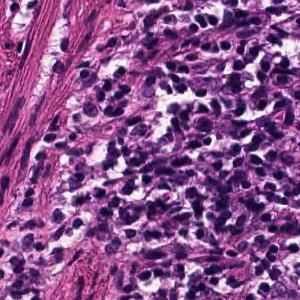
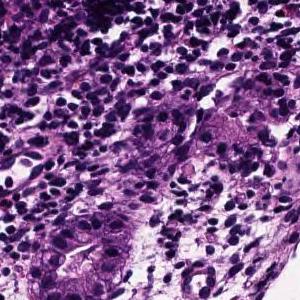
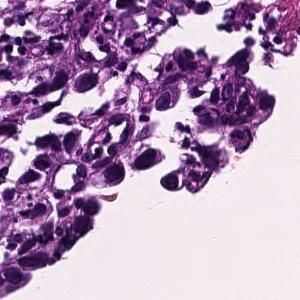
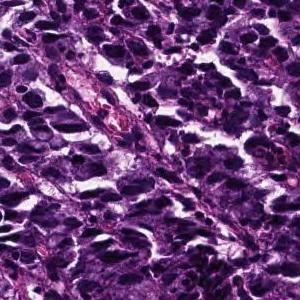
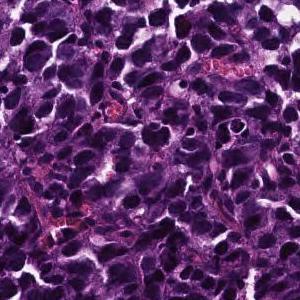
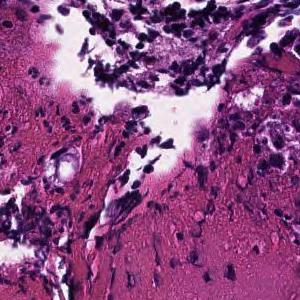
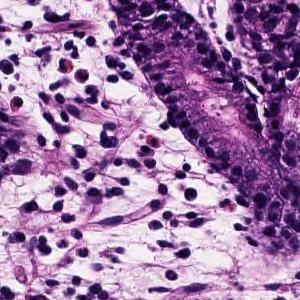
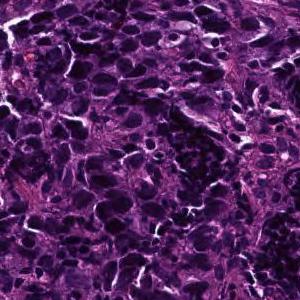
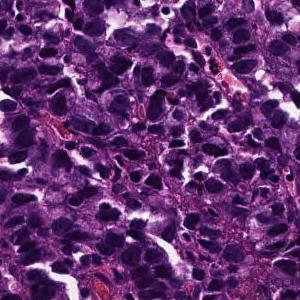
×20 · H&E stain · 9 patches cut from one gastric biopsy slide · each 300 × 300 pixels.
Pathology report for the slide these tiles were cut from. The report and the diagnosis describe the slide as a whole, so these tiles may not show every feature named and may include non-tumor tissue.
The superficial epithelium shows a large sheet-like shape, and some tumor tissues infiltrate with a small cord-like structure. Poorly differentiated adenocarcinoma, solid type (poorly differentiated adenocarcinoma, solid type)
Tumor subtype: poorly differentiated adenocarcinoma, solid type. This name comes from the Japanese Classification of Gastric Carcinoma; the WHO 2019 classification calls it tubular adenocarcinoma, poorly differentiated.
